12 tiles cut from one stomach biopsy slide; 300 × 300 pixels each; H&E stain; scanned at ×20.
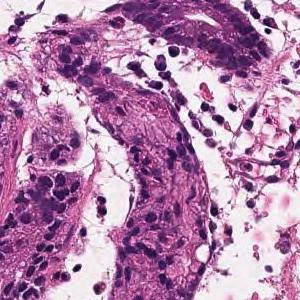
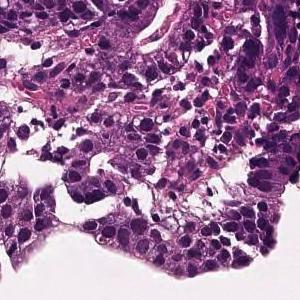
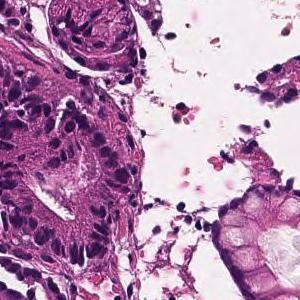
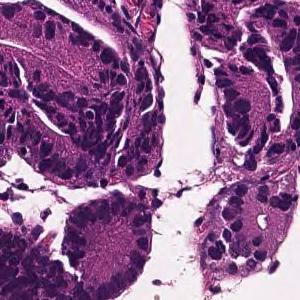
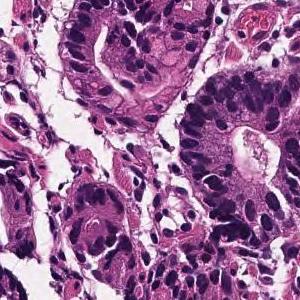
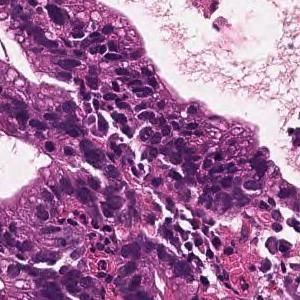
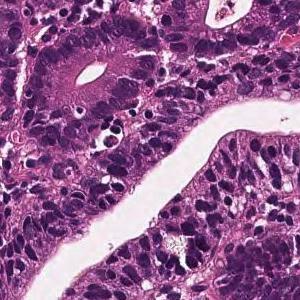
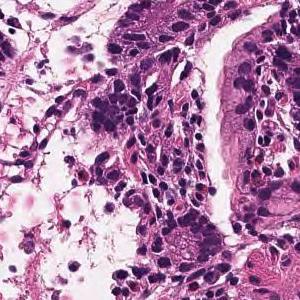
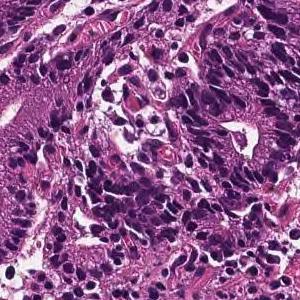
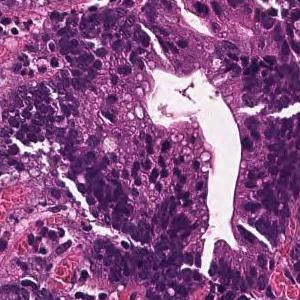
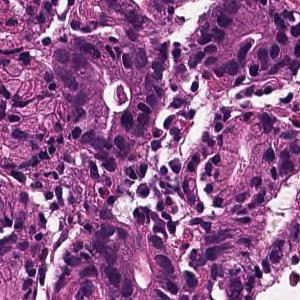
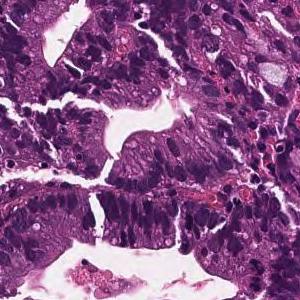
Diagnostic report for the slide these tiles come from. The findings and the diagnosis refer to the entire slide; these tiles show only part of it, possibly with non-tumor tissue, and may not show every feature named.
From the superficial epithelium to the muscularis mucosae, tumor tissue consisting of medium-sized and irregular glandular ducts infiltrating is observed. Well differentiated tubular adenocarcinoma
